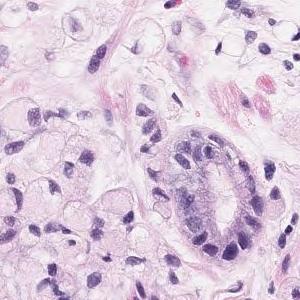
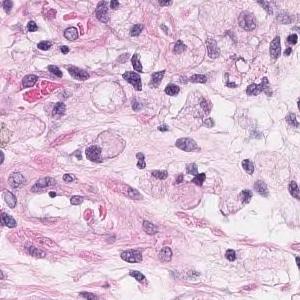
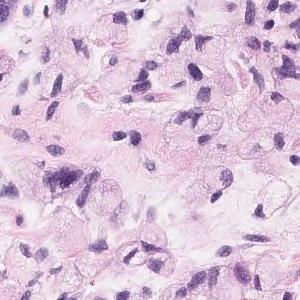
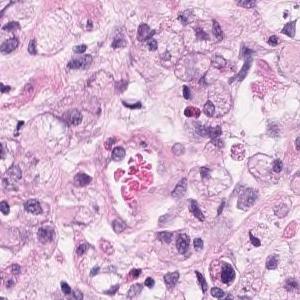
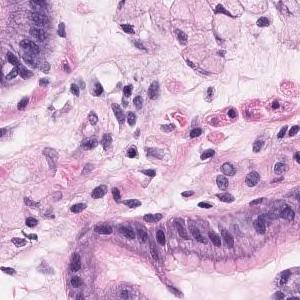
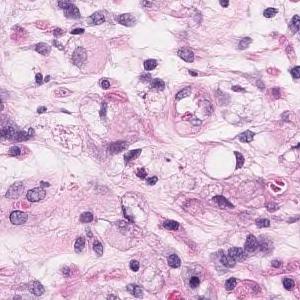
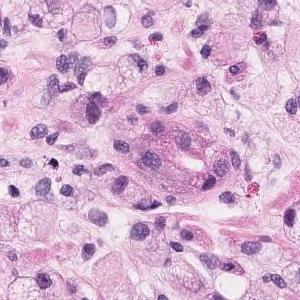
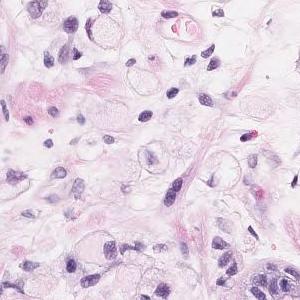
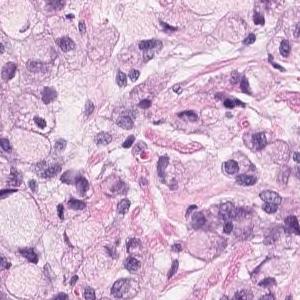
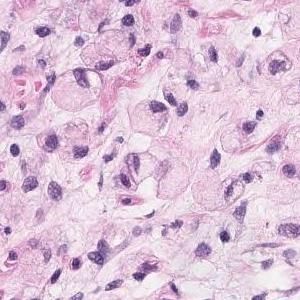
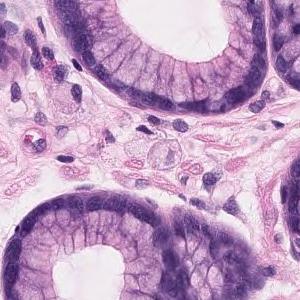
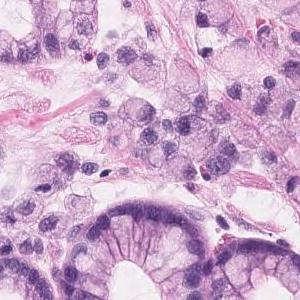
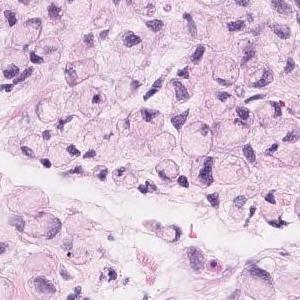
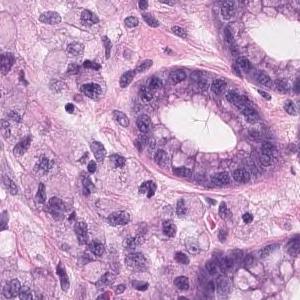
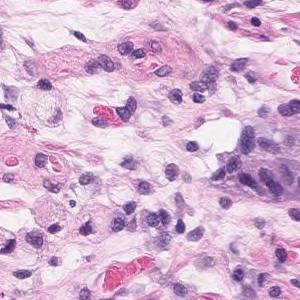
15 patches cut from one gastric biopsy slide.
Report on the slide these tiles come from. The findings and the diagnosis refer to the entire slide; these tiles show only part of it, possibly with non-tumor tissue, and may not show every feature named.
In the lamina propria, atypical epithelial cells that store mucus and lack connectivity proliferate diffusely. Adenocarcinoma. Signet ring cell carcinoma.
